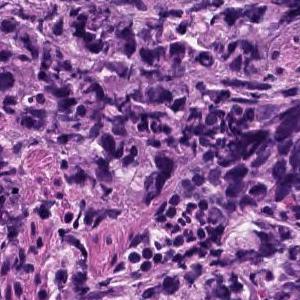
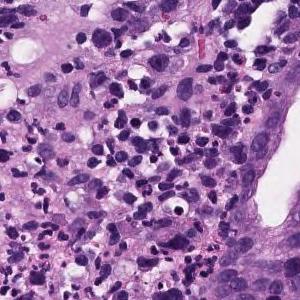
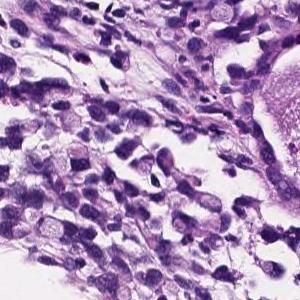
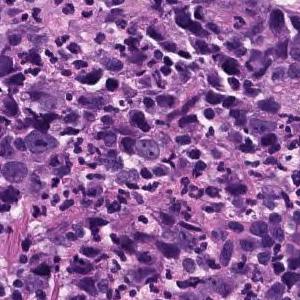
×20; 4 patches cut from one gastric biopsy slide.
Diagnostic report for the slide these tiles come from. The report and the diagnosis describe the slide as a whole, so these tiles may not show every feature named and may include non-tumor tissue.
Poorly differentiated, solid adenocarcinoma (poorly differentiated adenocarcinoma, solid type) with tumor tissue diffusely infiltrated with atypical epithelial cells
Histological subtype: Poorly differentiated adenocarcinoma, solid type (Japanese Classification of Gastric Carcinoma). The WHO 2019 equivalent is tubular adenocarcinoma, poorly differentiated.
